5 patches cut from one gastric biopsy slide, each 300 × 300 pixels, 20× magnification.
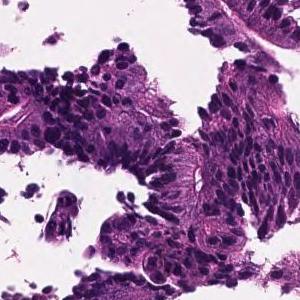
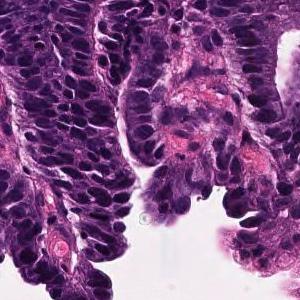
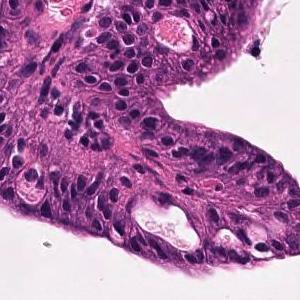
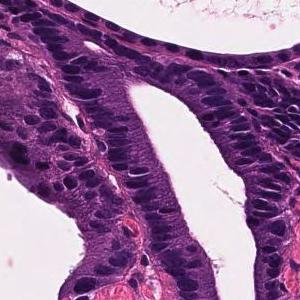
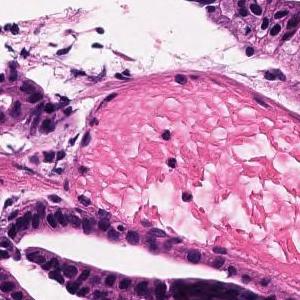
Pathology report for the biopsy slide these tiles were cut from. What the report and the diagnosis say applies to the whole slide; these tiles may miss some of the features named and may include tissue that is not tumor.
Tumor tissue that remains within the superficial epithelium and is infiltrated by large papillary or irregular ducts that fuse with each other is observed. Well differentiated tubular adenocarcinoma
